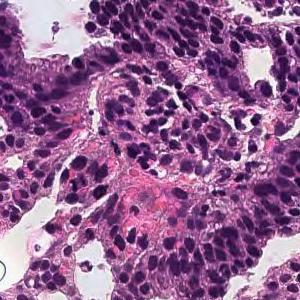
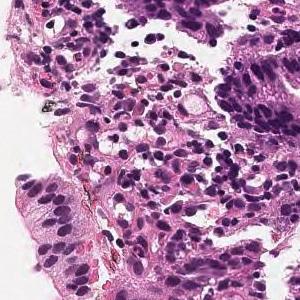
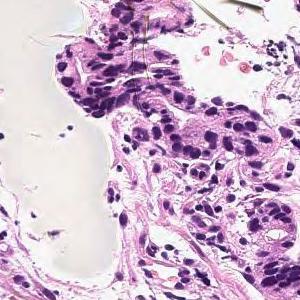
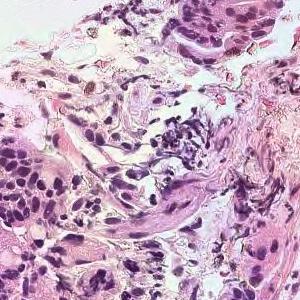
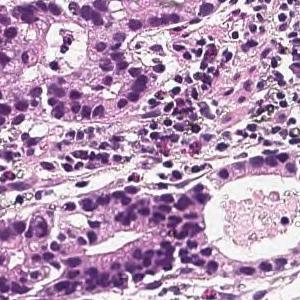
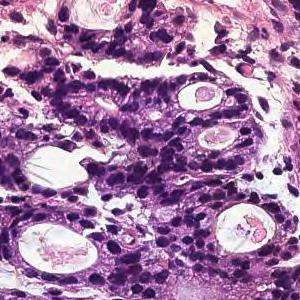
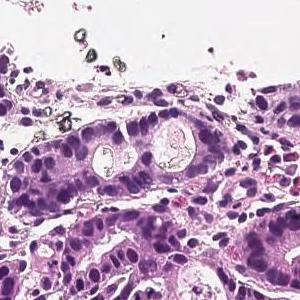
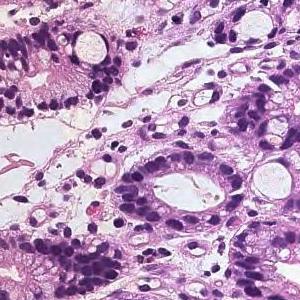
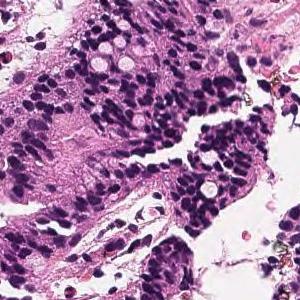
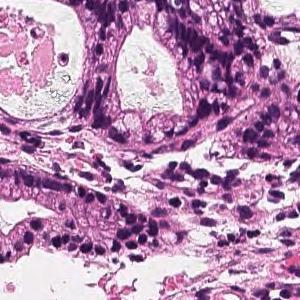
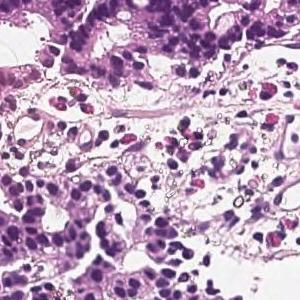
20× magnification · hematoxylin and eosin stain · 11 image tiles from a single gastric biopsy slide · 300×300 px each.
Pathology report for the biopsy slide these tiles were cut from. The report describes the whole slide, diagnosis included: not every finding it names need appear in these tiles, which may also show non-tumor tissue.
In the superficial epithelium, tumor tissue that invades by forming medium-sized to small, irregular ducts is observed. moderately differentiated tubular adenocarcinoma.
